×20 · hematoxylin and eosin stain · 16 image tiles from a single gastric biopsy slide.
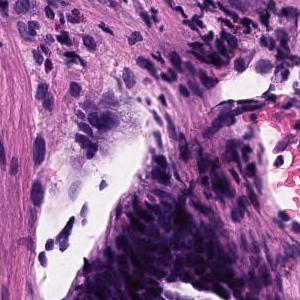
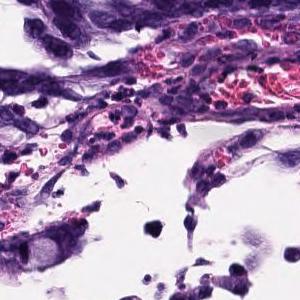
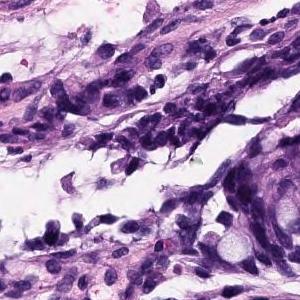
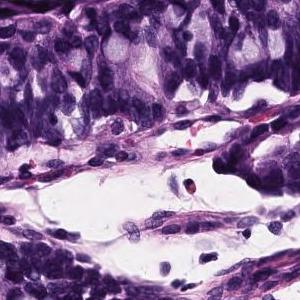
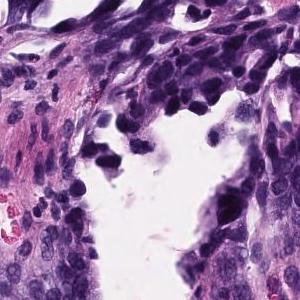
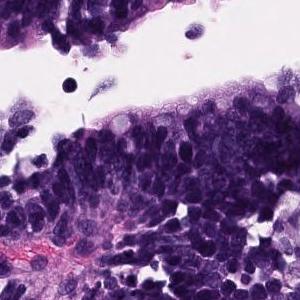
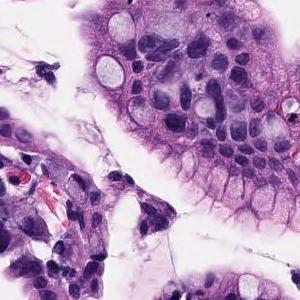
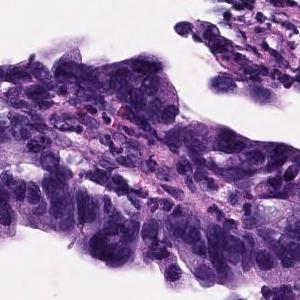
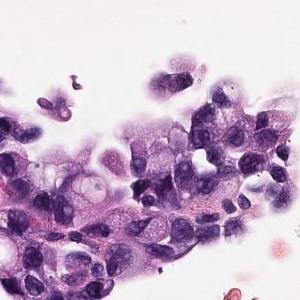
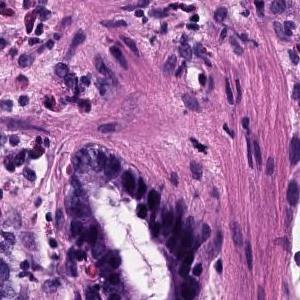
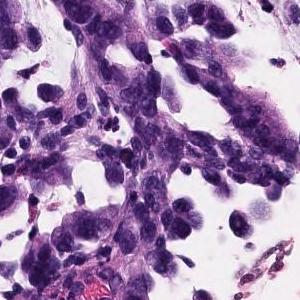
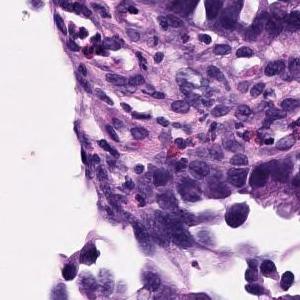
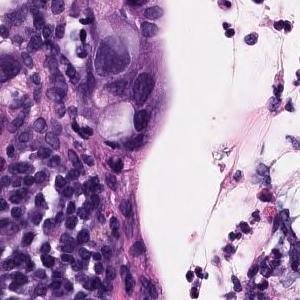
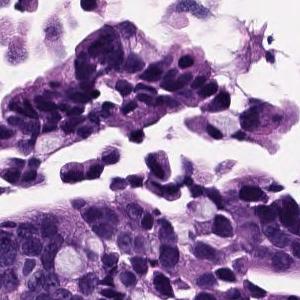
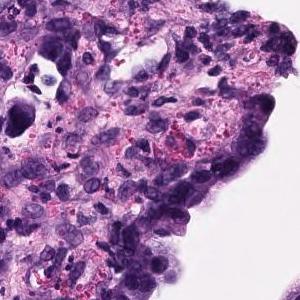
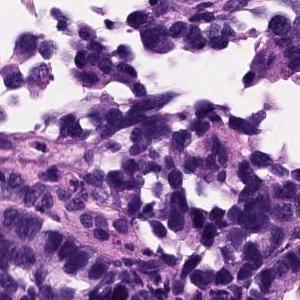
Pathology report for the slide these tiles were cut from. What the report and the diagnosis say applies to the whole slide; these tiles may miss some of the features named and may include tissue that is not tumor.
Atypical epithelium proliferating showing villus construction and irregular gland duct construction is observed. Moderately differentiated tubular adenocarcinoma.
